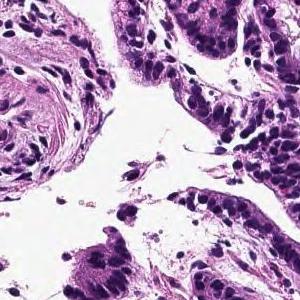
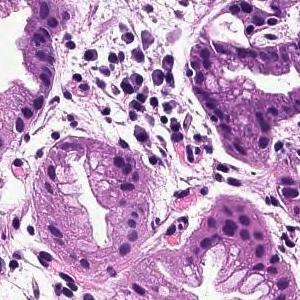
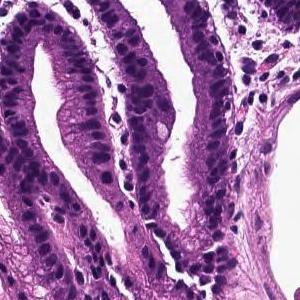
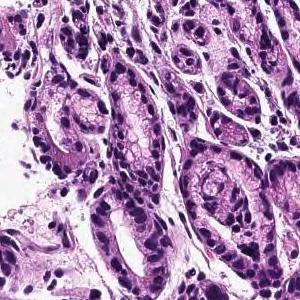
4 tiles from the same stomach biopsy slide; 20× magnification; H&E.
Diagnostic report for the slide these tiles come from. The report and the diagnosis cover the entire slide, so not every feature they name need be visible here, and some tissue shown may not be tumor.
In the superficial epithelium, tumor tissue that invades by forming medium-sized to small, irregular ducts is observed. moderately differentiated tubular adenocarcinoma.
